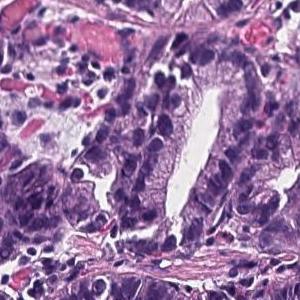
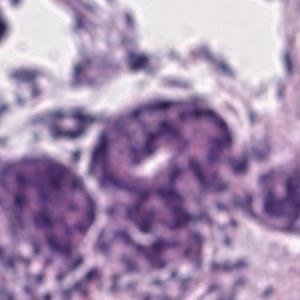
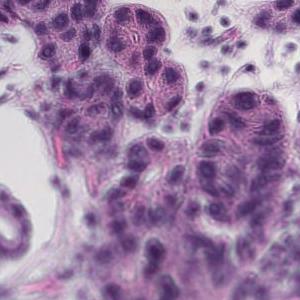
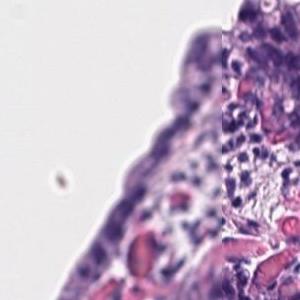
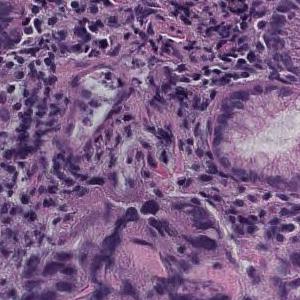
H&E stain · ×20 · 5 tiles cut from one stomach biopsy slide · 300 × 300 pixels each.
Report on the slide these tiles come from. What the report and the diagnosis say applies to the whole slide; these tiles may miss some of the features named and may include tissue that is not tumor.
On the superficial epithelium, tumor tissue consisting of medium to small irregular tubules partially fused and proliferated is observed. Well differentiated tubular adenocarcinoma
